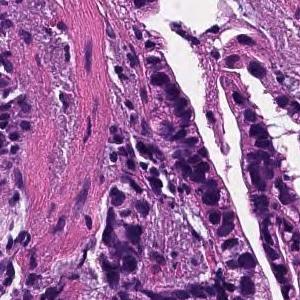
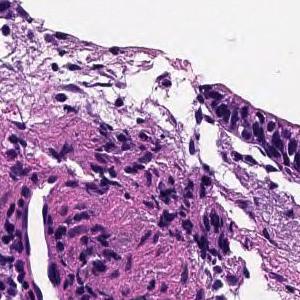
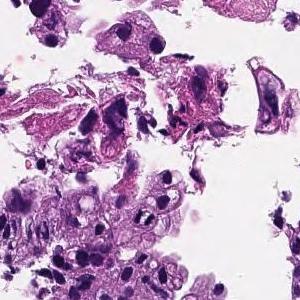
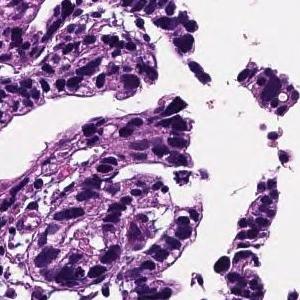
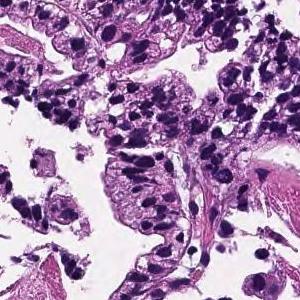
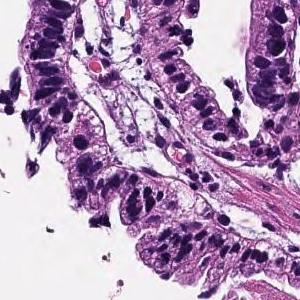
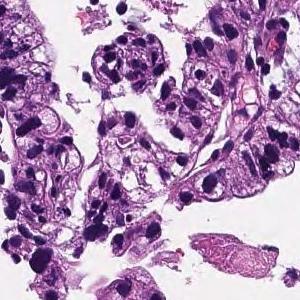
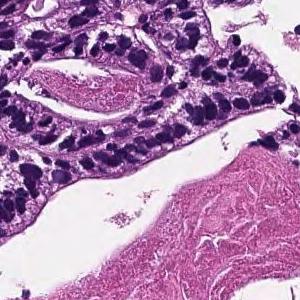
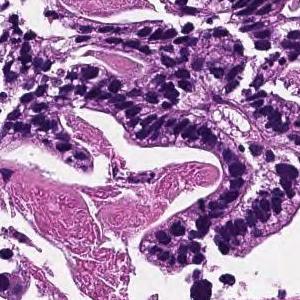
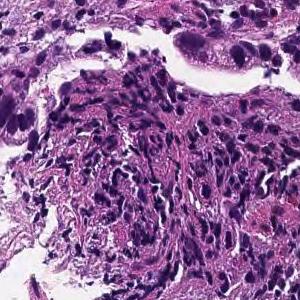
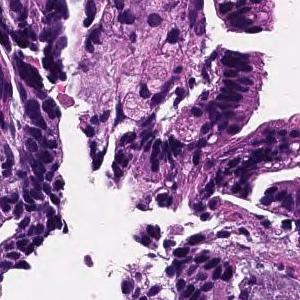
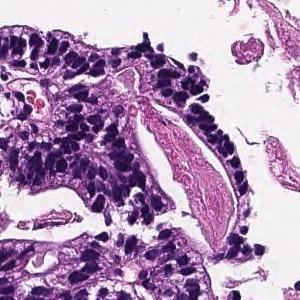
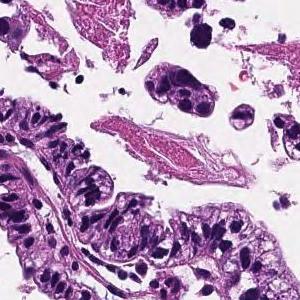
13 tiles from the same stomach biopsy slide · 300 × 300 pixels each · H&E stain · 20× magnification.
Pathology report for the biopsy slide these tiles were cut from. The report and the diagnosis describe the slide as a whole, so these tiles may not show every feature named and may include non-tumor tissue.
On the superficial epithelium, tumor tissue that infiltrates by forming medium-sized papillary or small irregular ducts is observed. Papillary adenocarcinoma
